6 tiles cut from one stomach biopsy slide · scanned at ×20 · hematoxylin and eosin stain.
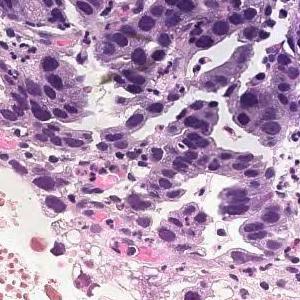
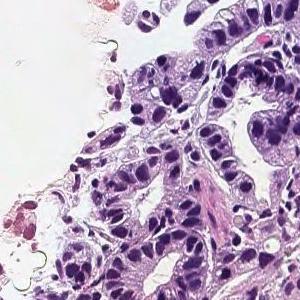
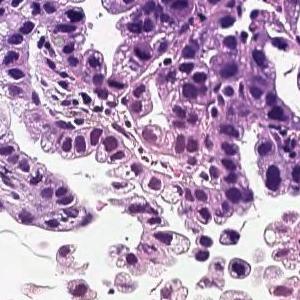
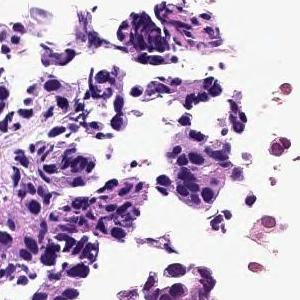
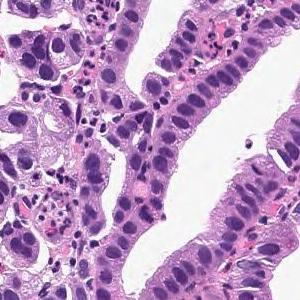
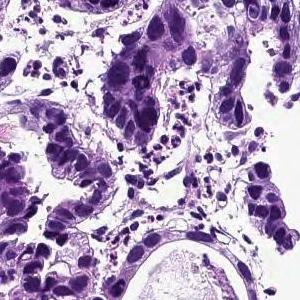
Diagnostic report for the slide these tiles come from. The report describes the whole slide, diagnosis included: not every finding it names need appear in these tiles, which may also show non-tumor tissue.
On the superficial epithelium, tumor tissue consisting of large irregular glandular ducts partially fused and infiltrated is observed. Well to moderately differentiated tubular adenocarcinoma (well differentiated tubular adenocarcinoma, moderately differentiated tubular adenocarcinoma)
Subtype: Well to moderately differentiated tubular adenocarcinoma.
